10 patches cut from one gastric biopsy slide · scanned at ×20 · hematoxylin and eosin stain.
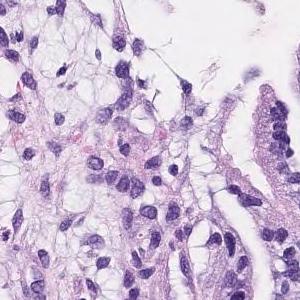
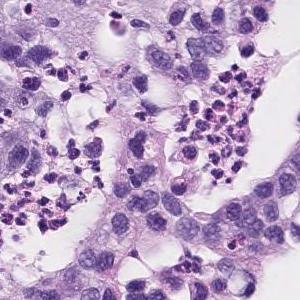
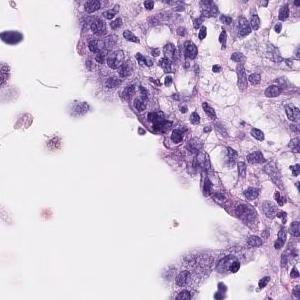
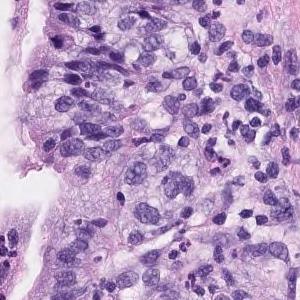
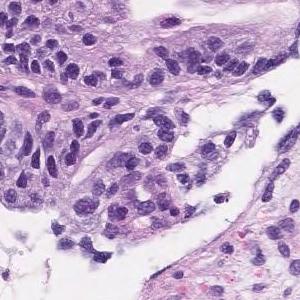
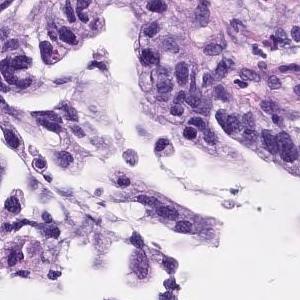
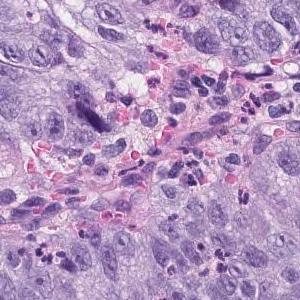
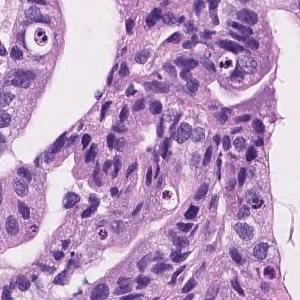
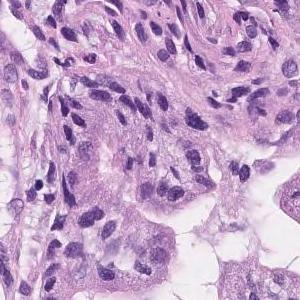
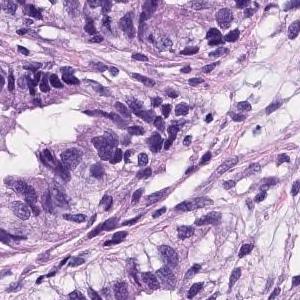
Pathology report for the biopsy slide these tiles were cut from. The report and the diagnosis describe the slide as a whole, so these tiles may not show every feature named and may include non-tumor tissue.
Tumor cells are large, highly columnar, large club-shaped nuclei, and are associated with chromatin aggregation. Papillary adenocarcinoma.
